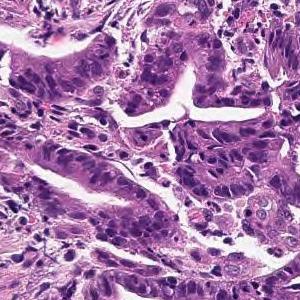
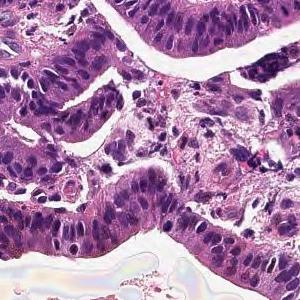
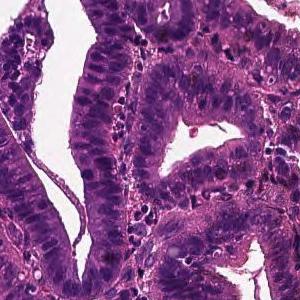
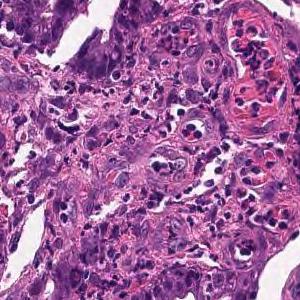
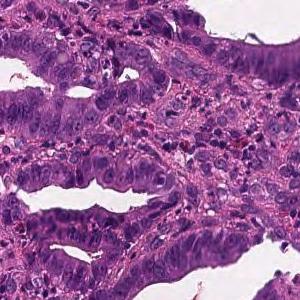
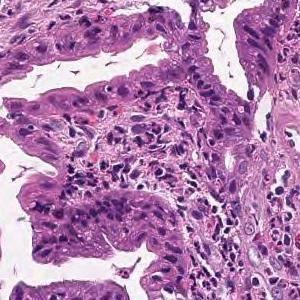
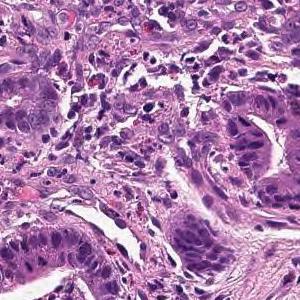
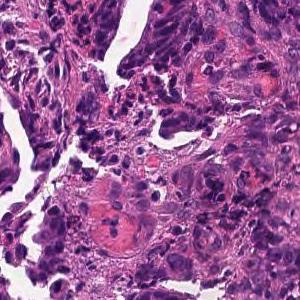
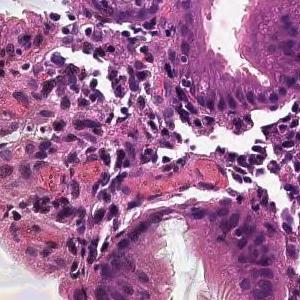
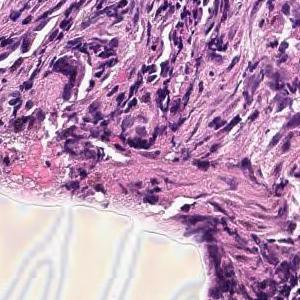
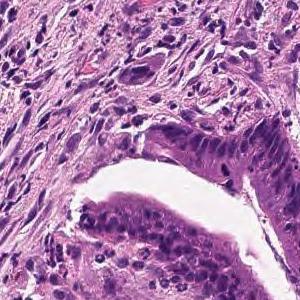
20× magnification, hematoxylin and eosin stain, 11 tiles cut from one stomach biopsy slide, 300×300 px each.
Report on the slide these tiles come from. The findings and the diagnosis refer to the entire slide; these tiles show only part of it, possibly with non-tumor tissue, and may not show every feature named.
From the superficial epithelium to the muscularis mucosae, tumor tissue consisting of medium-sized and irregular glandular ducts infiltrating is observed. Well differentiated tubular adenocarcinoma
